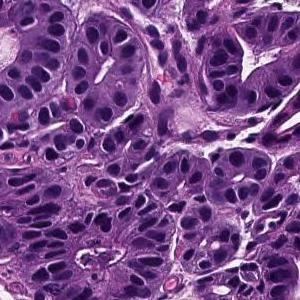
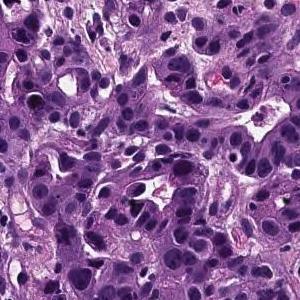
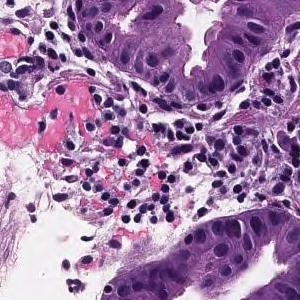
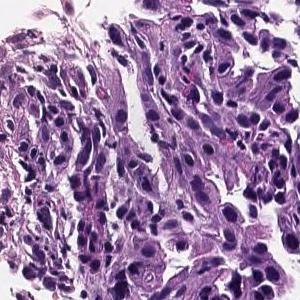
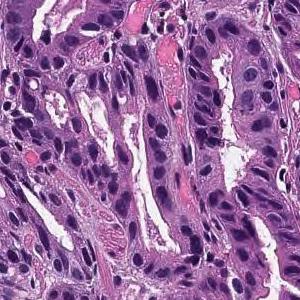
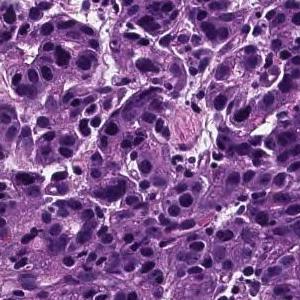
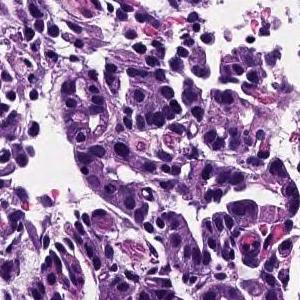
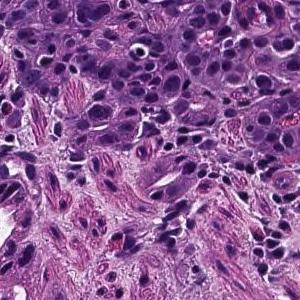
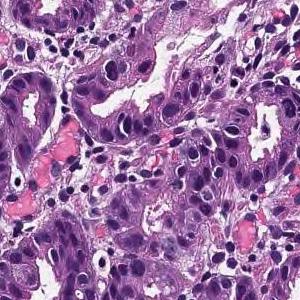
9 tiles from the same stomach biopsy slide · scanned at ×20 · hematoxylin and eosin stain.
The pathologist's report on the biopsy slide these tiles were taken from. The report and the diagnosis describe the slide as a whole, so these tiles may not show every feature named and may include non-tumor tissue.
From the superficial epithelium to the muscularis mucosae, tumor tissue consisting of medium-sized and irregular glandular ducts infiltrating is observed. Well differentiated tubular adenocarcinoma
